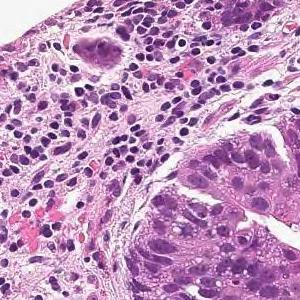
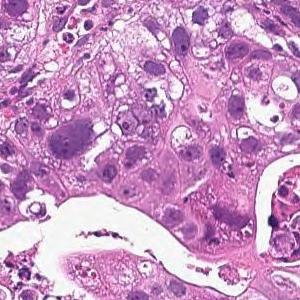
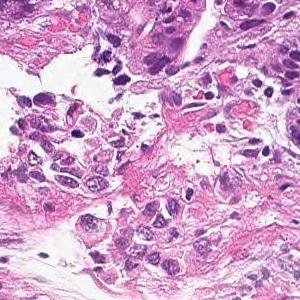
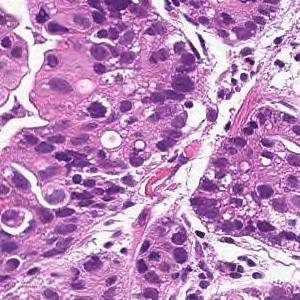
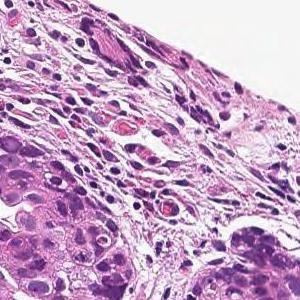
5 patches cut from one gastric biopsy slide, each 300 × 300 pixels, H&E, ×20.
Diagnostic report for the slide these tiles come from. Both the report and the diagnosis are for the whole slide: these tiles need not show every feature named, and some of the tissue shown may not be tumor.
On the superficial epithelium, tumor tissue that infiltrates by forming medium-sized papillary or small irregular ducts is observed. Papillary adenocarcinoma
